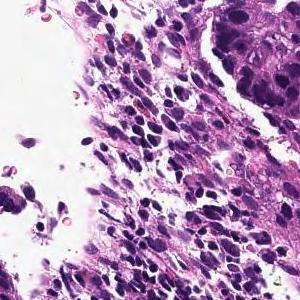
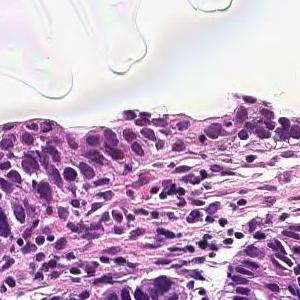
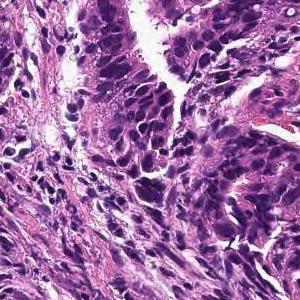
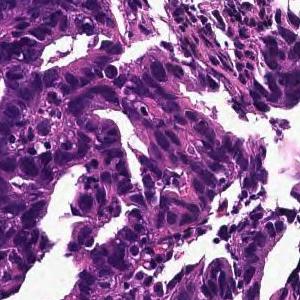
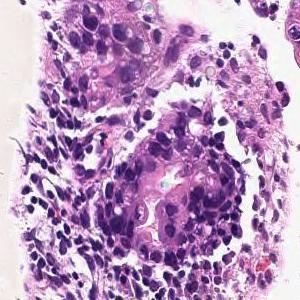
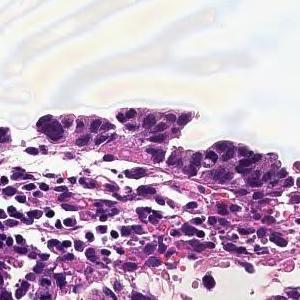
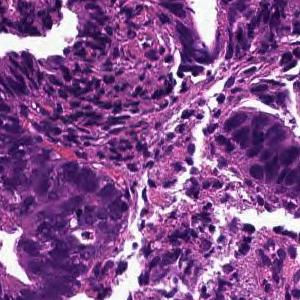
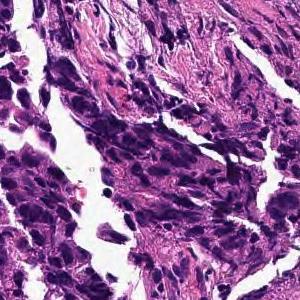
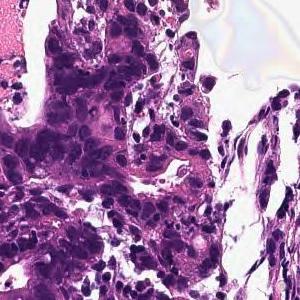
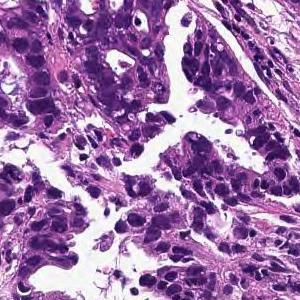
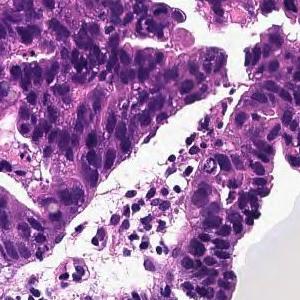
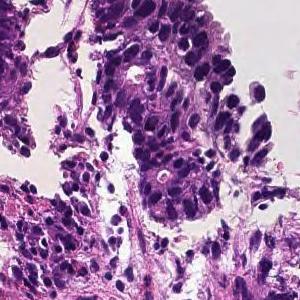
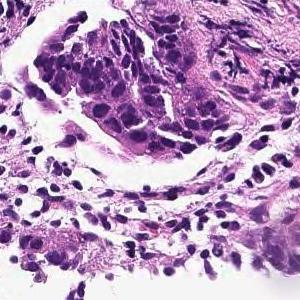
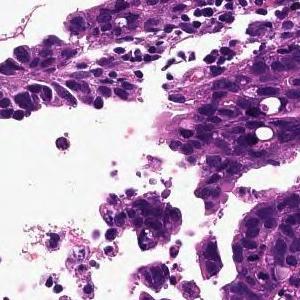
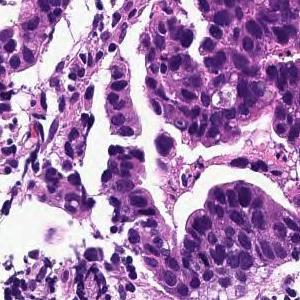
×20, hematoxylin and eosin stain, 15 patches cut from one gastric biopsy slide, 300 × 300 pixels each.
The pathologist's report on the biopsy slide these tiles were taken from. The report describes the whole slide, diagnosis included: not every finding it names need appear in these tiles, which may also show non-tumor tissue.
In the superficial epithelium, tumor tissue that invades by forming medium-sized to small, irregular ducts is observed. moderately differentiated tubular adenocarcinoma.
